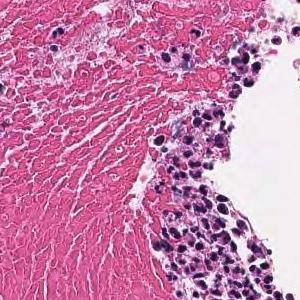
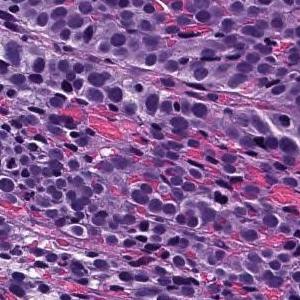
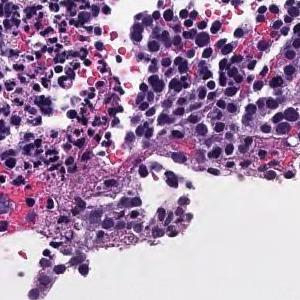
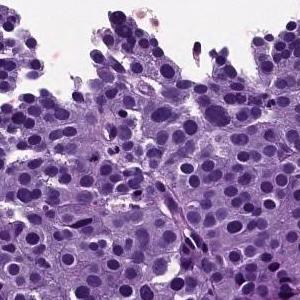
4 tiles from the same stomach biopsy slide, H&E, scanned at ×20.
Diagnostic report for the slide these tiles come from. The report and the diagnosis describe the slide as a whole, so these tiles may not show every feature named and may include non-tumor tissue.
The superficial epithelium shows a large sheet-like shape, and some tumor tissue infiltrates with small irregular ducts. Poorly differentiated adenocarcinoma, solid-type
Subtype: Poorly differentiated adenocarcinoma, solid type, a category of the Japanese Classification of Gastric Carcinoma; in the WHO 2019 classification it is tubular adenocarcinoma, poorly differentiated.
